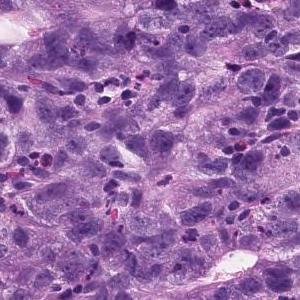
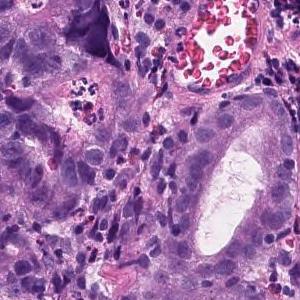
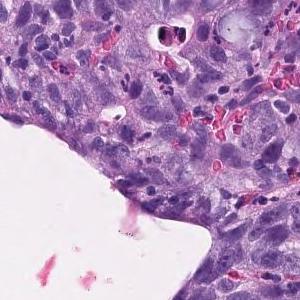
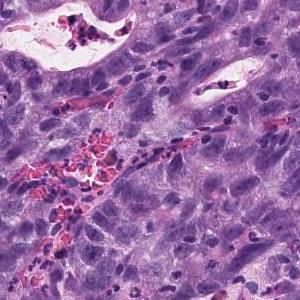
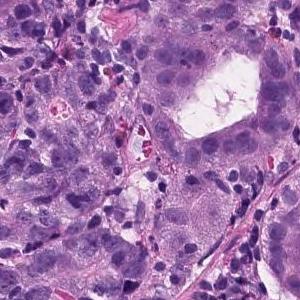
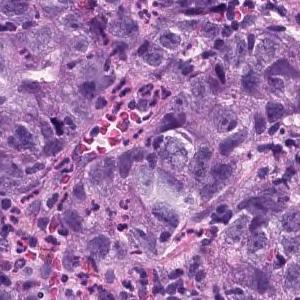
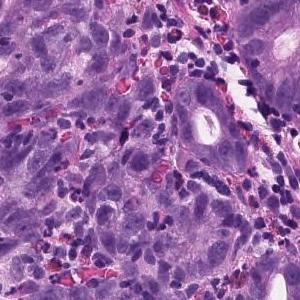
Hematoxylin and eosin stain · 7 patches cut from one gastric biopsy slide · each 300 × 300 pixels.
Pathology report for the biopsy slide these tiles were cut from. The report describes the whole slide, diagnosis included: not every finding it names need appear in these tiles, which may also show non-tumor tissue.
Atypical l cells with atypical nuclei forming solid or diffuse vesicles or small irregular atypical ducts and growing in a complex manner. moderately differentiated tubular adenocarcinoma
